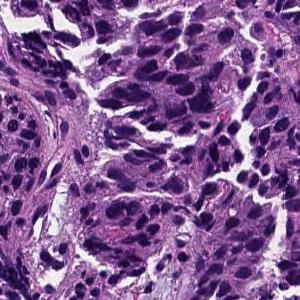
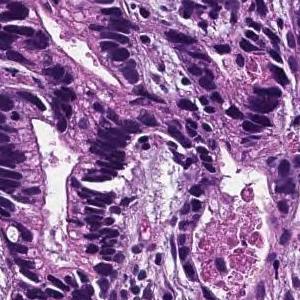
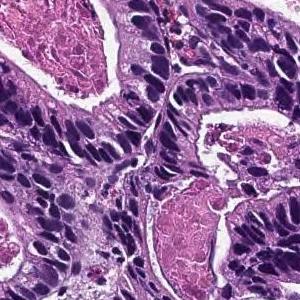
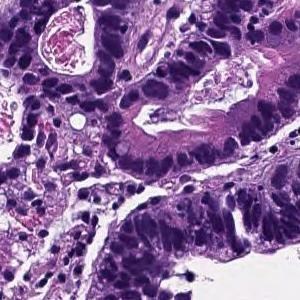
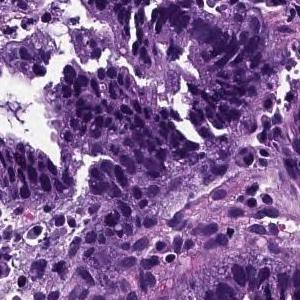
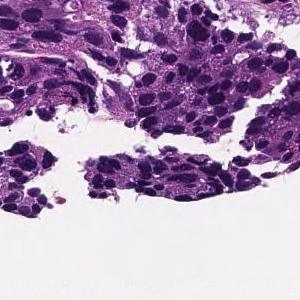
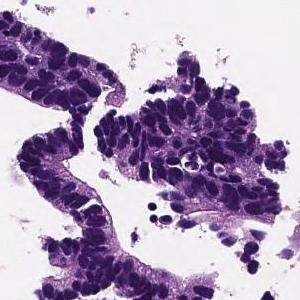
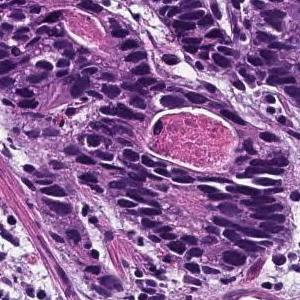
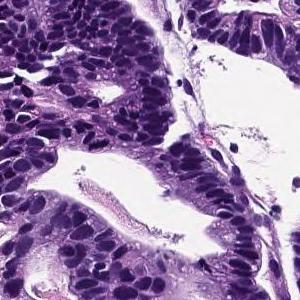
Hematoxylin and eosin stain; 9 image tiles from a single gastric biopsy slide; each 300 × 300 pixels.
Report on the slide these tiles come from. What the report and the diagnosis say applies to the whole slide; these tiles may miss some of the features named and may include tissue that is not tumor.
From the superficial epithelium to the muscularis mucosae, tumor tissue consisting of medium-sized and irregular glandular ducts infiltrating is observed. Well differentiated tubular adenocarcinoma
